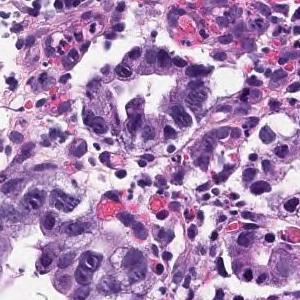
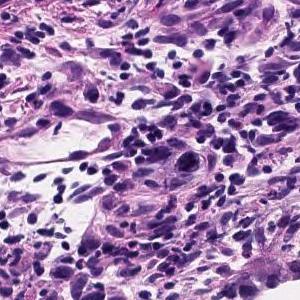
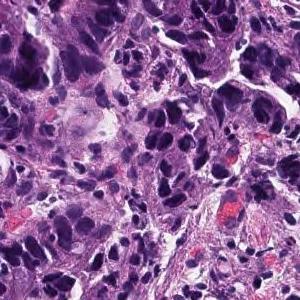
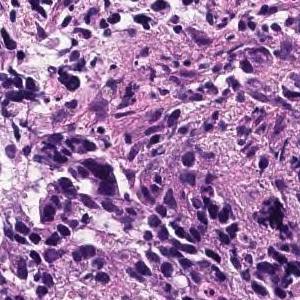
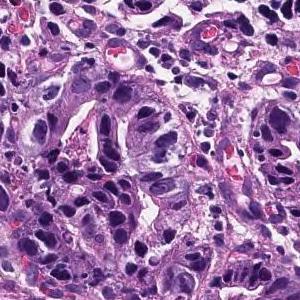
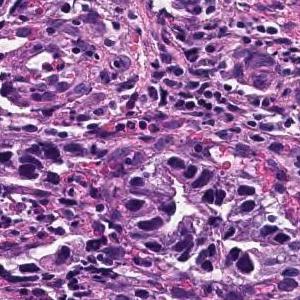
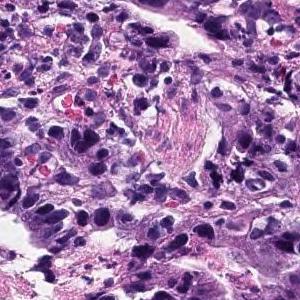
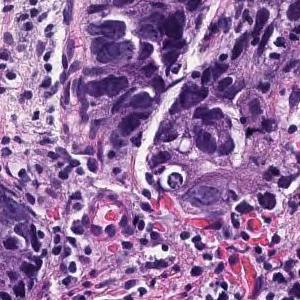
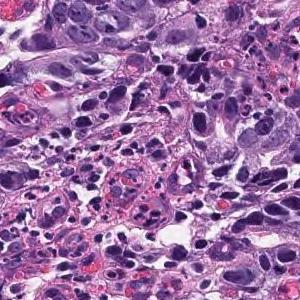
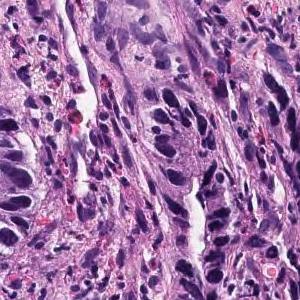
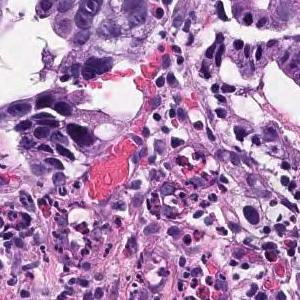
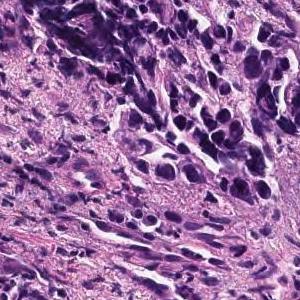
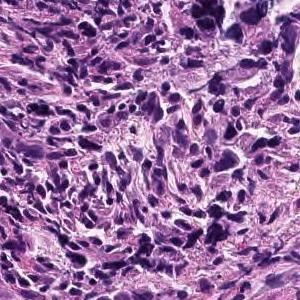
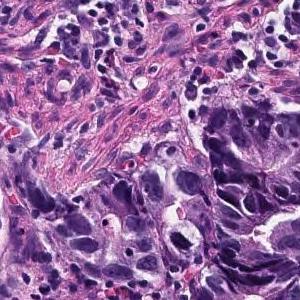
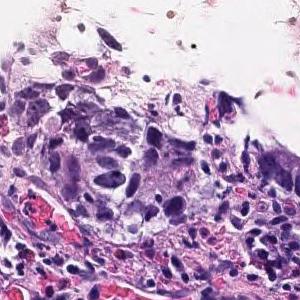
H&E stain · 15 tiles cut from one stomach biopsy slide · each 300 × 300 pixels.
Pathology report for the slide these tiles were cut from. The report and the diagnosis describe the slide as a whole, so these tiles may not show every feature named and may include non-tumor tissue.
In the superficial epithelium, tumor tissue that invades by forming medium-sized to small, irregular ducts is observed. Tumor cells are columnar or cuboidal in shape. Moderately differentiated adenocarcinoma.
Histological subtype: Moderately differentiated tubular adenocarcinoma.
